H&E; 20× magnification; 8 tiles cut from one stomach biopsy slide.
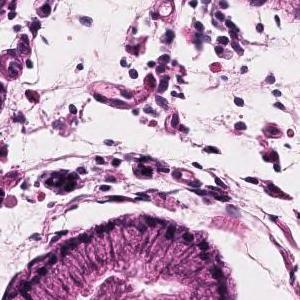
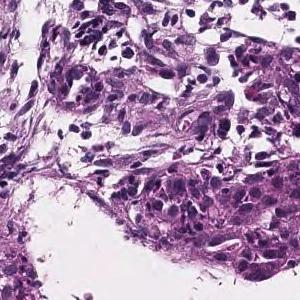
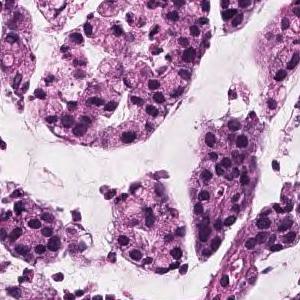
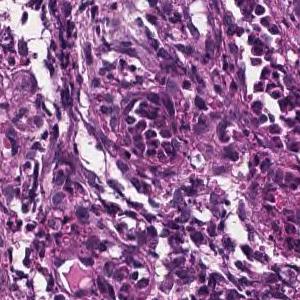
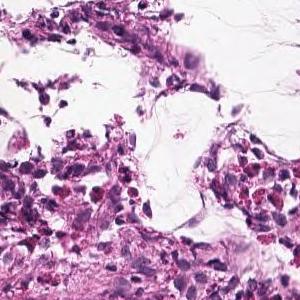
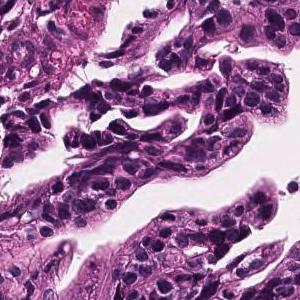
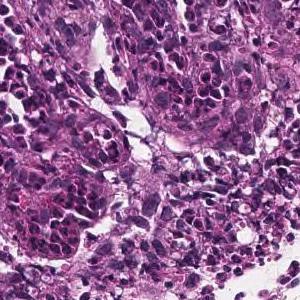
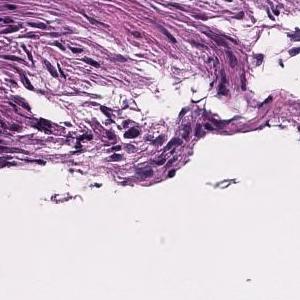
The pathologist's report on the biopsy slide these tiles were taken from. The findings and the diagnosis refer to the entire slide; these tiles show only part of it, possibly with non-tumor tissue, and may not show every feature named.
Atypical epithelial cells form obscure ductal structures or small solid follicles, and tumor tissue that proliferates invasively with proliferation of inflammatory granulation tissue is observed. Mucinous adenocarcinoma .
